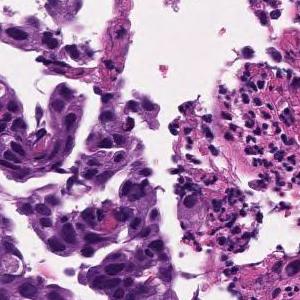
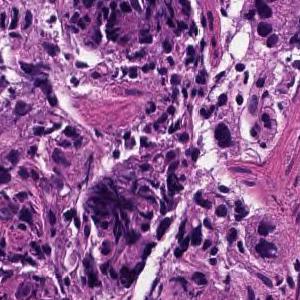
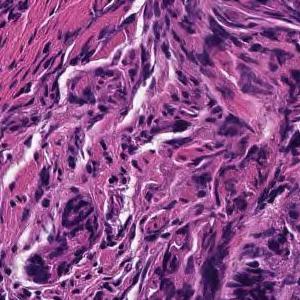
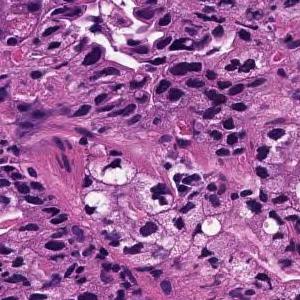
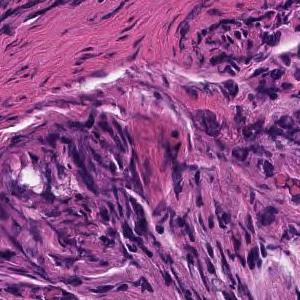
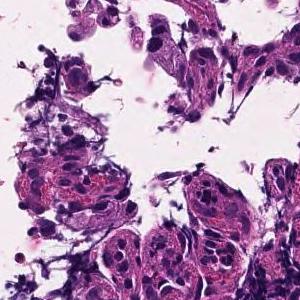
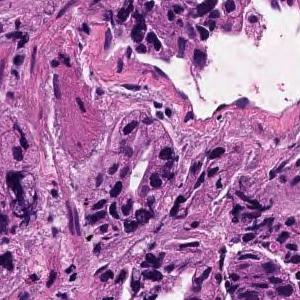
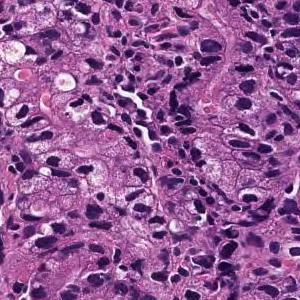
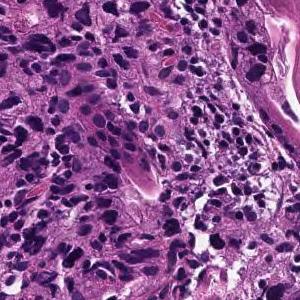
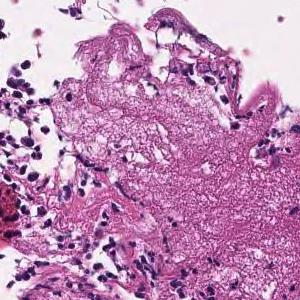
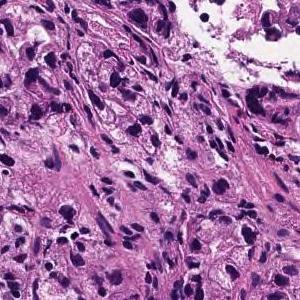
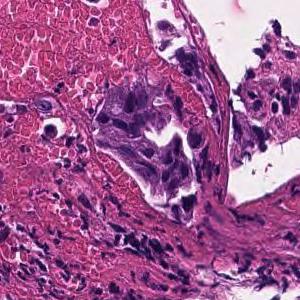
12 patches cut from one gastric biopsy slide; H&E stain; scanned at ×20.
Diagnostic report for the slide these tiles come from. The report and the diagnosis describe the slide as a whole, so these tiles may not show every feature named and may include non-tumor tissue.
In the superficial epithelium, tumor tissue that invades by forming medium-sized to small, irregular ducts is observed. moderately differentiated tubular adenocarcinoma.
